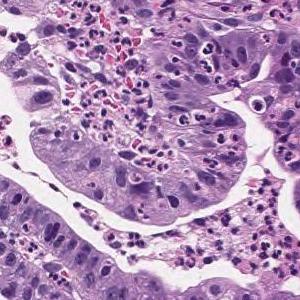
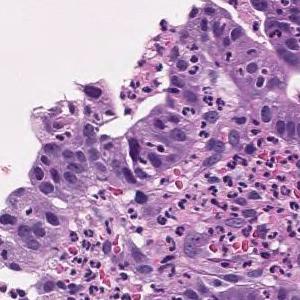
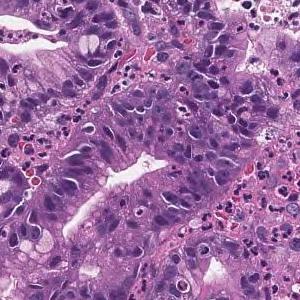
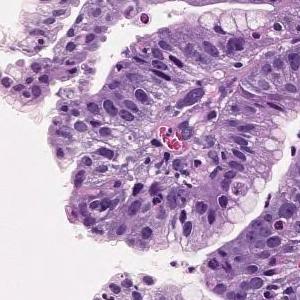
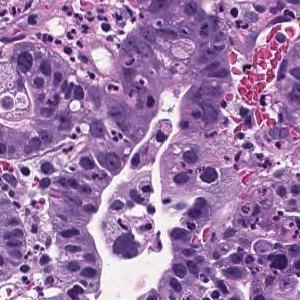
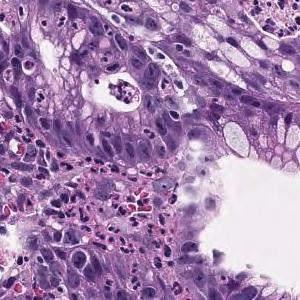
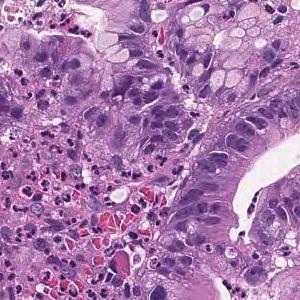
7 patches cut from one gastric biopsy slide; 300×300 px each; H&E; ×20.
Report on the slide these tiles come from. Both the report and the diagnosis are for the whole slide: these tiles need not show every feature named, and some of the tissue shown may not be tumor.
In the superficial epithelium, tumor tissue that invades by forming medium-sized to small, irregular ducts is observed. Well differentiated tubular adenocarcinoma.
